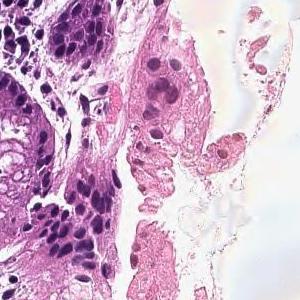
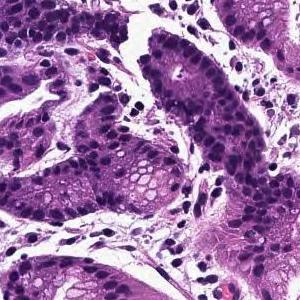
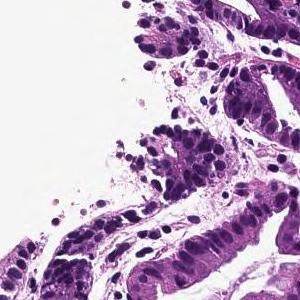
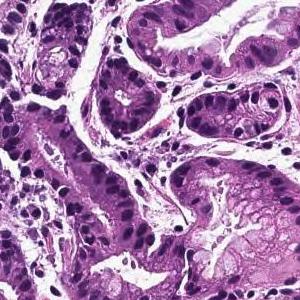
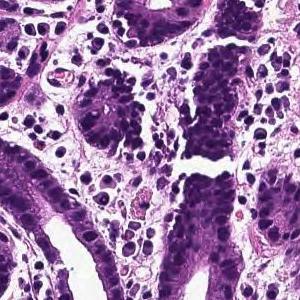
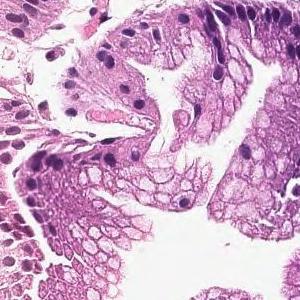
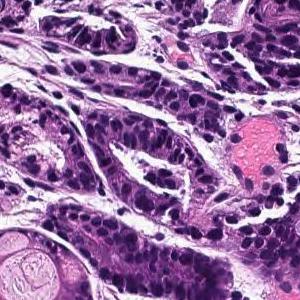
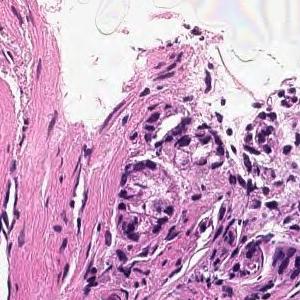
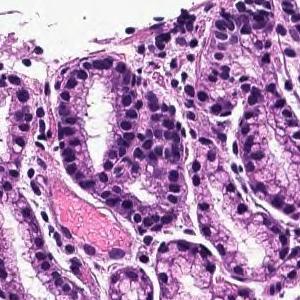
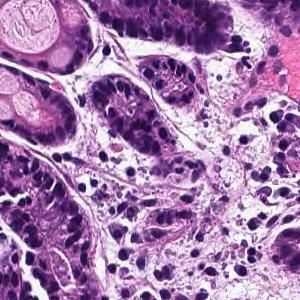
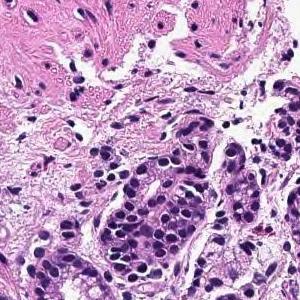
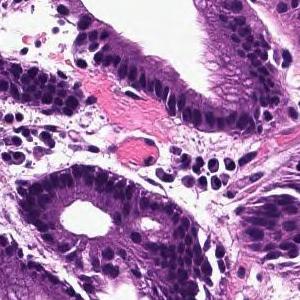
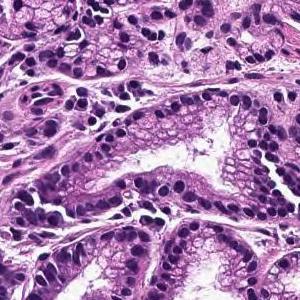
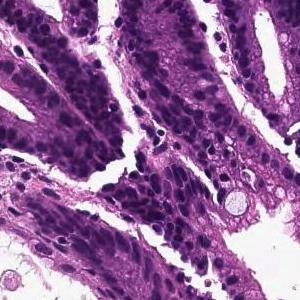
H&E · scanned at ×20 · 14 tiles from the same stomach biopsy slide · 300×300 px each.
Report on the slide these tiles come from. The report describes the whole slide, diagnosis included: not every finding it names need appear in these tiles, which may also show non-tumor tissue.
In the superficial epithelium, tumor tissue that invades by forming medium-sized to small, irregular ducts is observed. moderately differentiated tubular adenocarcinoma.
